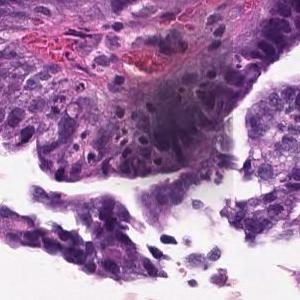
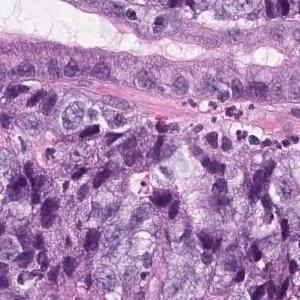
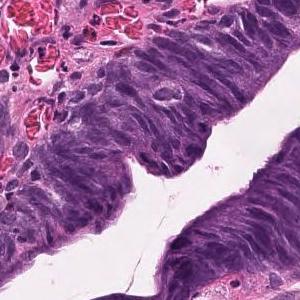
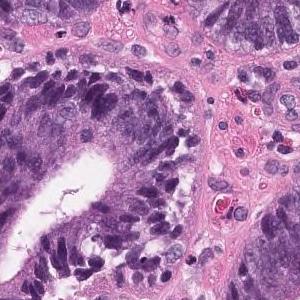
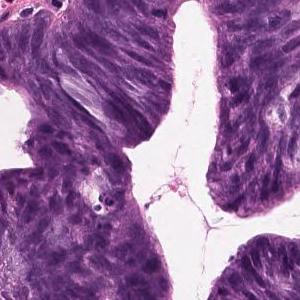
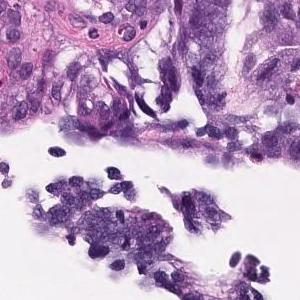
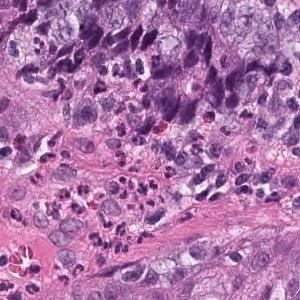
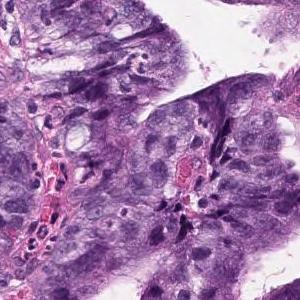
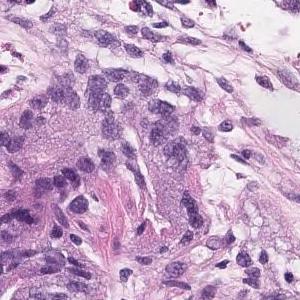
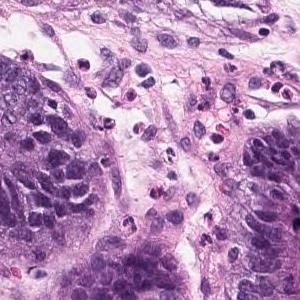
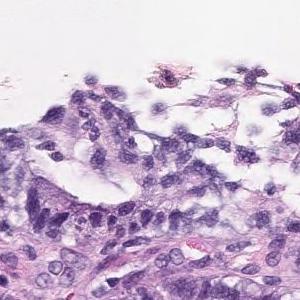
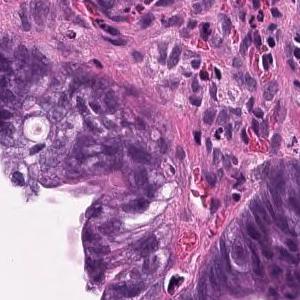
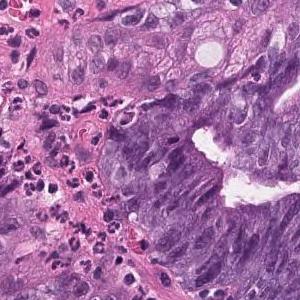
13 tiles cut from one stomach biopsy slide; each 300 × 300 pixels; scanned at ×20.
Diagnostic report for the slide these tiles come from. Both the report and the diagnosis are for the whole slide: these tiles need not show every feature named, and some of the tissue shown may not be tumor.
Large atypical epithelial cells with swollen atypical nuclei are seen proliferating into a tubular fusion gland. moderately differentiated tubular adenocarcinoma
